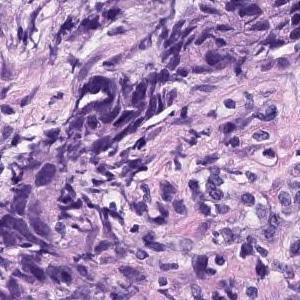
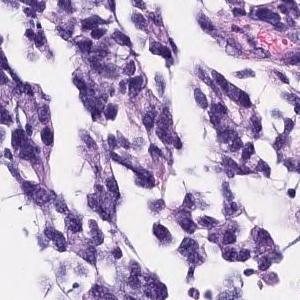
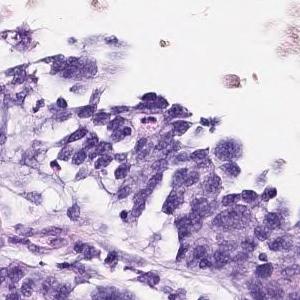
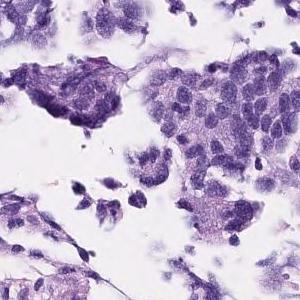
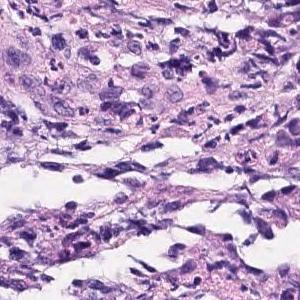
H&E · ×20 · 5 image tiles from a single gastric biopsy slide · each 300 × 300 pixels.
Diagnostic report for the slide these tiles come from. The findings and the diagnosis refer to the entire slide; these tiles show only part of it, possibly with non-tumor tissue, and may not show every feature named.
The superficial epithelium shows a large sheet-like shape, and some tumor tissue infiltrates with small irregular ducts. Poorly differentiated adenocarcinoma, solid-type
Tumor subtype: poorly differentiated adenocarcinoma, solid type, a category of the Japanese Classification of Gastric Carcinoma; in the WHO 2019 classification it is tubular adenocarcinoma, poorly differentiated.
